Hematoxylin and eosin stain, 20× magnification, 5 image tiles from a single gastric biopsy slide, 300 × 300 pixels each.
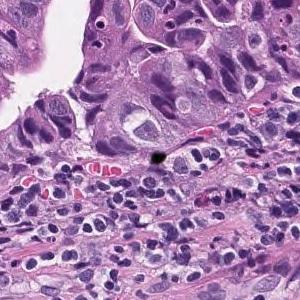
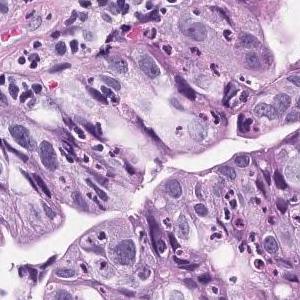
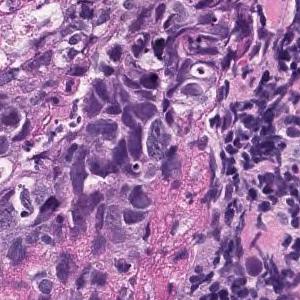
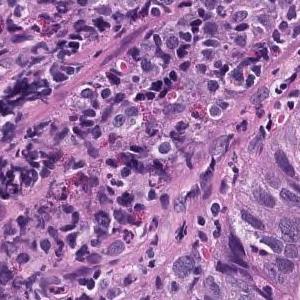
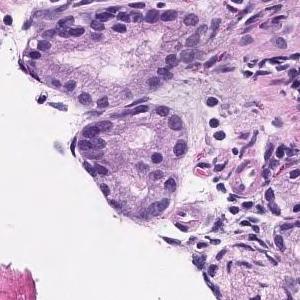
Pathology report for the biopsy slide these tiles were cut from. Both the report and the diagnosis are for the whole slide: these tiles need not show every feature named, and some of the tissue shown may not be tumor.
Atypical epithelium replaces superficial epithelium or localized ducts, or grows while forming irregular ducts. Well differentiated tubular adenocarcinoma
